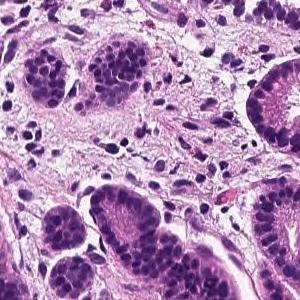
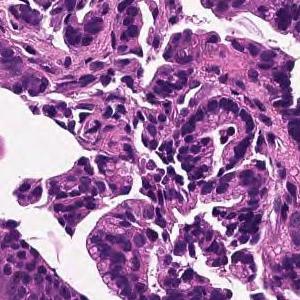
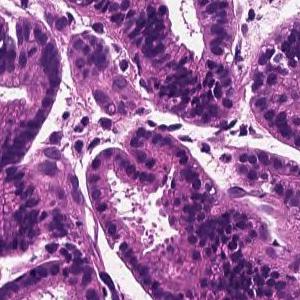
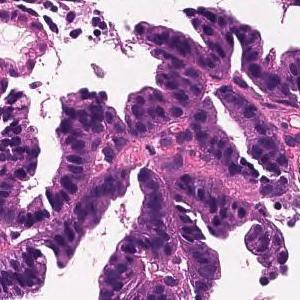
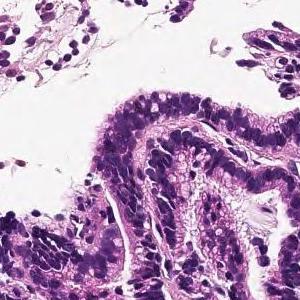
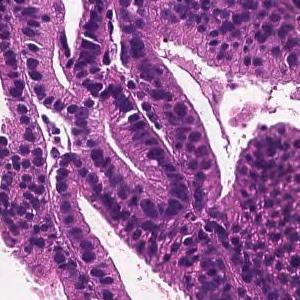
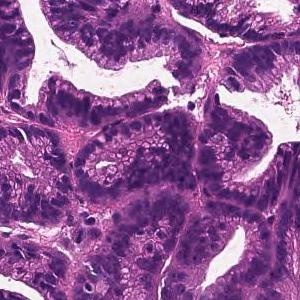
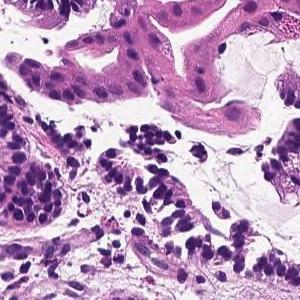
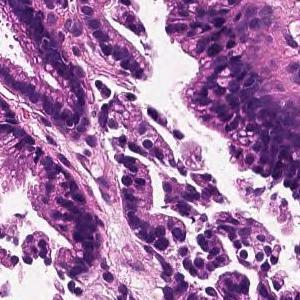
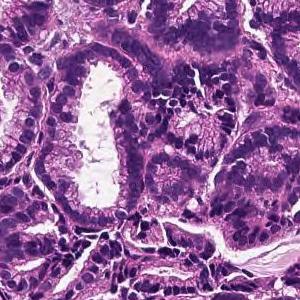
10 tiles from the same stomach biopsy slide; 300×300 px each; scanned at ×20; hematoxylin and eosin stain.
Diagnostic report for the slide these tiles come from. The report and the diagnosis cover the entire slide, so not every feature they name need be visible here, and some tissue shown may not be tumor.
On the superficial epithelium, tumor tissue consisting of large irregular glandular ducts partially fused and infiltrated is observed. Well to moderately differentiated tubular adenocarcinoma (well differentiated tubular adenocarcinoma, moderately differentiated tubular adenocarcinoma)
Histological subtype: Well to moderately differentiated tubular adenocarcinoma.
